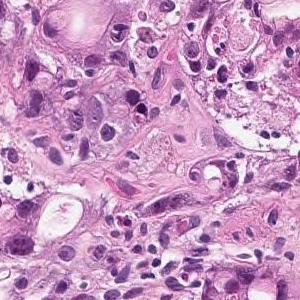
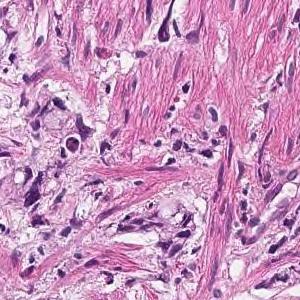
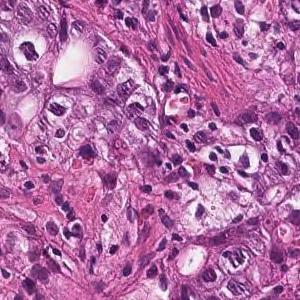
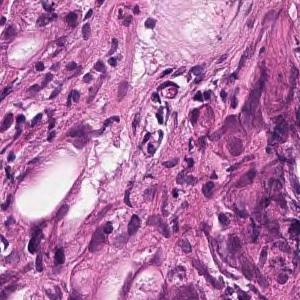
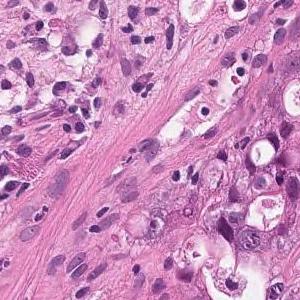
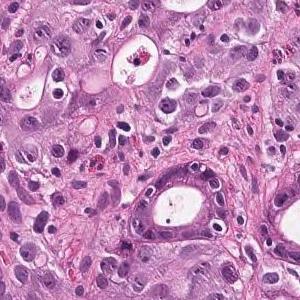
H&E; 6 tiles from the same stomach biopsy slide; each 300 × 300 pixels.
Report on the slide these tiles come from. The findings and the diagnosis refer to the entire slide; these tiles show only part of it, possibly with non-tumor tissue, and may not show every feature named.
In the gastric mucosal tissue, tumor tissue that forms irregular glandular cavities of medium to small size or shows small cords and infiltrates is observed. moderately differentiated tubular adenocarcinoma
